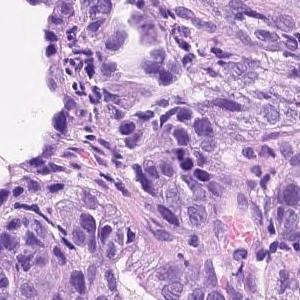
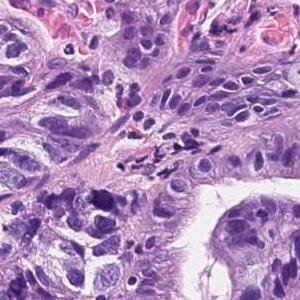
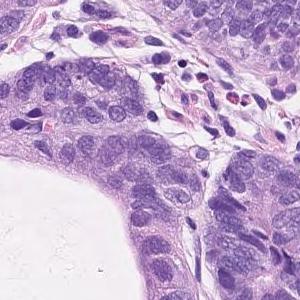
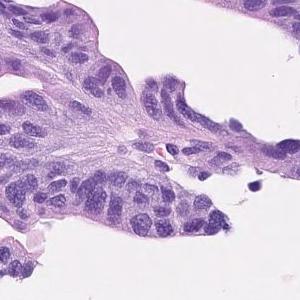
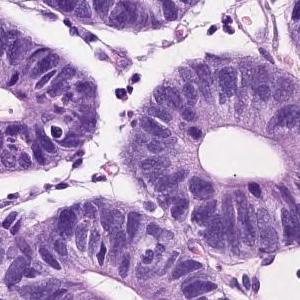
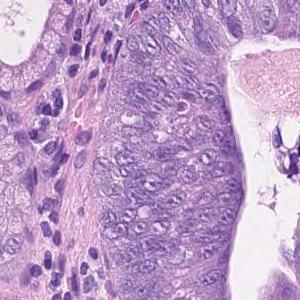
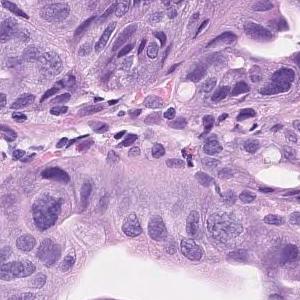
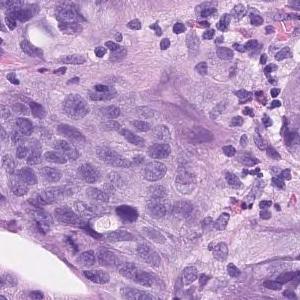
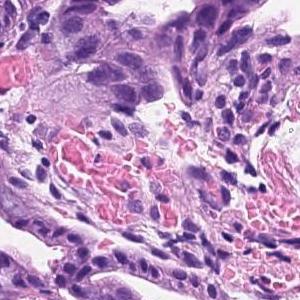
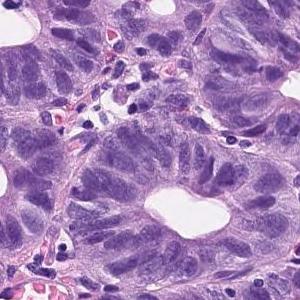
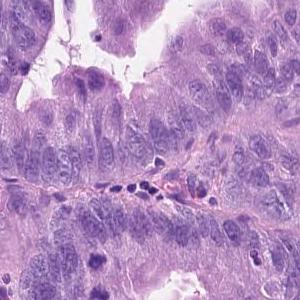
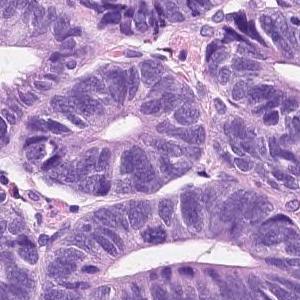
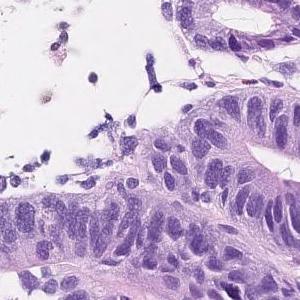
Scanned at ×20; H&E stain; 13 tiles cut from one stomach biopsy slide.
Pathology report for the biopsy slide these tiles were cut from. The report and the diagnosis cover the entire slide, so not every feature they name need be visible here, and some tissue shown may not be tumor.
Tumor tissue consisting of medium-sized and irregular ducts is observed infiltrating in the superficial epithelium. Tumor cells are highly columnar, with nuclei aligned basolaterally and polarized. Well differentiated tubular adenocarcinoma.
